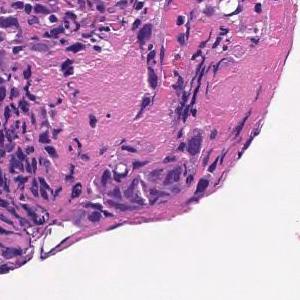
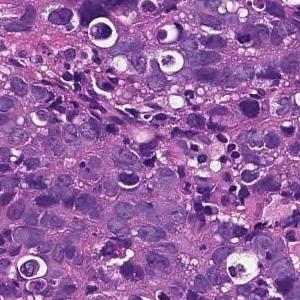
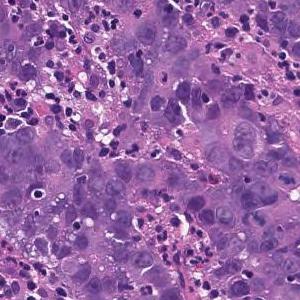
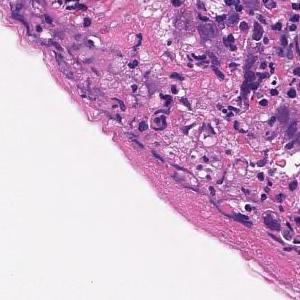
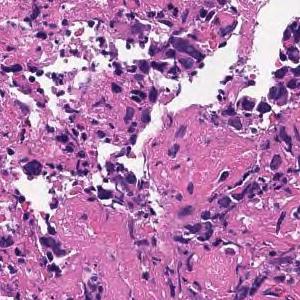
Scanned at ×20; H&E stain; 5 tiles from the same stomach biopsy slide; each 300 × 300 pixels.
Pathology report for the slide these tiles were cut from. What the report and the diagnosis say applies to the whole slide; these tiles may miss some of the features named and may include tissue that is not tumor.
Tumor tissue consisting of cord-like or small, irregular glandular ducts fused and infiltrated is observed in the superficial epithelium. Poorly differentiated adenocarcinoma, non-solid type
"Non-solid type" is a category of the Japanese Classification of Gastric Carcinoma.
